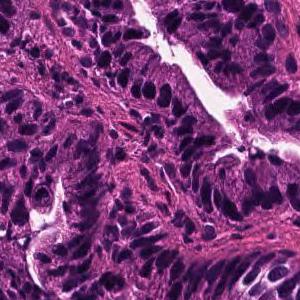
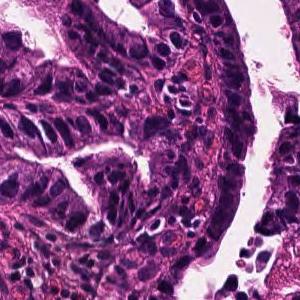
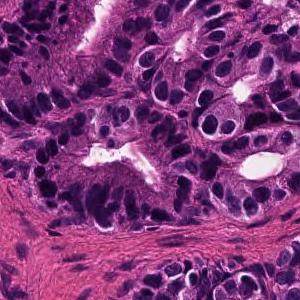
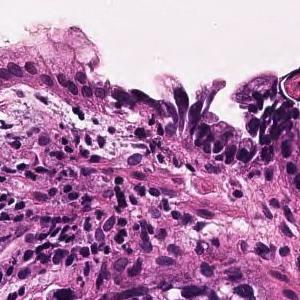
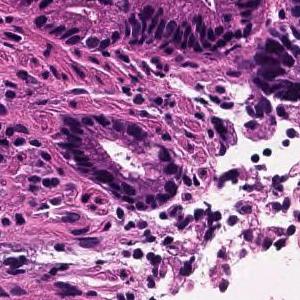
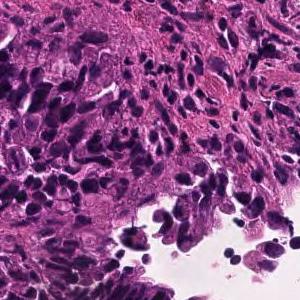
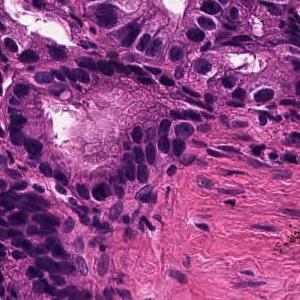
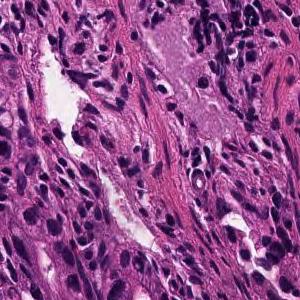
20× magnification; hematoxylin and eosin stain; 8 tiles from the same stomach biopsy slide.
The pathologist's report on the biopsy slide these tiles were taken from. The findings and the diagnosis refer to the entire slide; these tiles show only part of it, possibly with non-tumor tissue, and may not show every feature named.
In the superficial epithelium, tumor tissue that invades by forming medium-sized to small, irregular ducts is observed. Well differentiated tubular adenocarcinoma.
